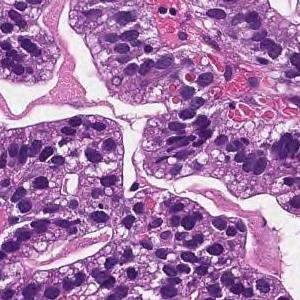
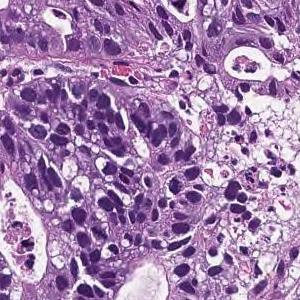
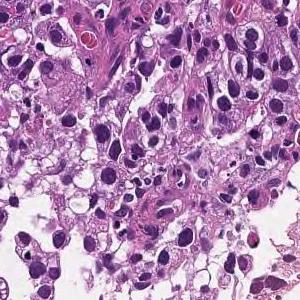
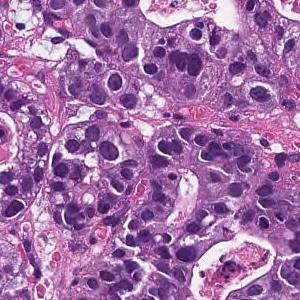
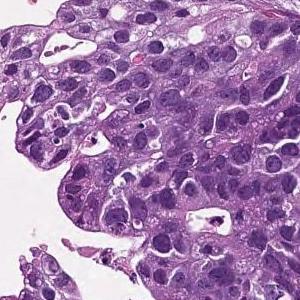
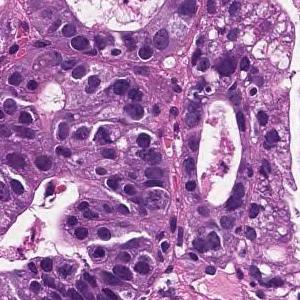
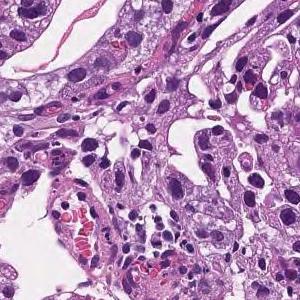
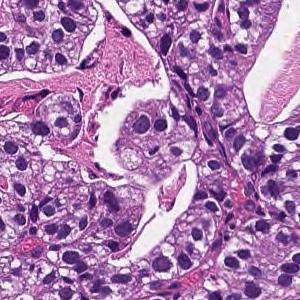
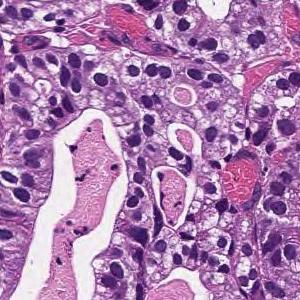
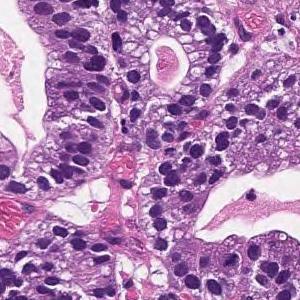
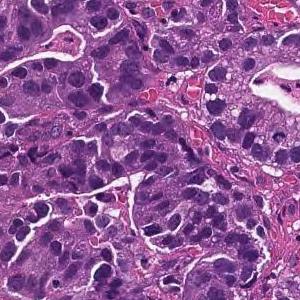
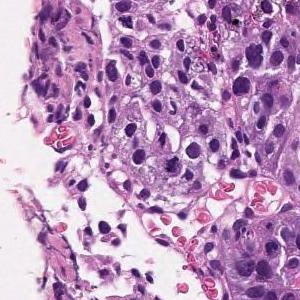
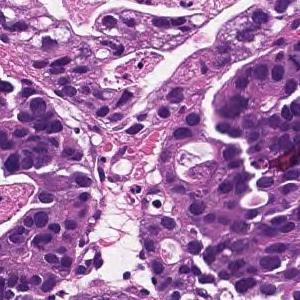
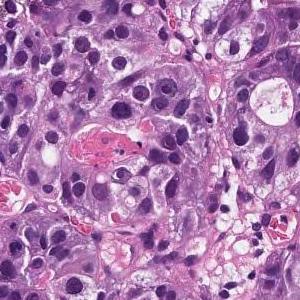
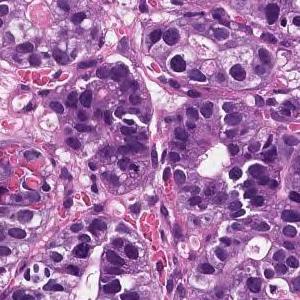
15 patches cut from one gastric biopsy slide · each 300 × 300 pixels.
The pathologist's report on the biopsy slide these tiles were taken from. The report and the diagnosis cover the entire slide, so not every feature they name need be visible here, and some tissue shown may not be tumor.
On the superficial epithelium, tumor tissue consisting of large, irregular glandular ducts partially fused and infiltrated is observed. Well to moderately differentiated tubular adenocarcinoma (well differentiated tubular adenocarcinoma, moderately differentiated tubular adenocarcinoma)
Histologic type: Well to moderately differentiated tubular adenocarcinoma.
